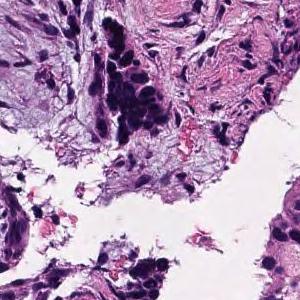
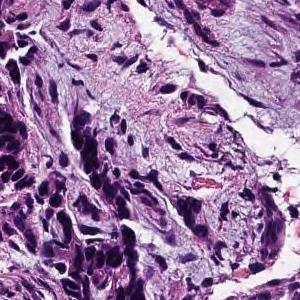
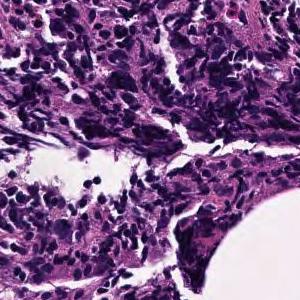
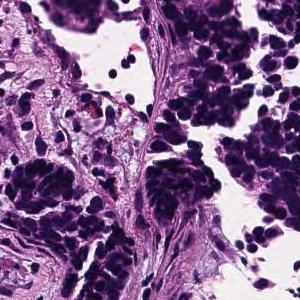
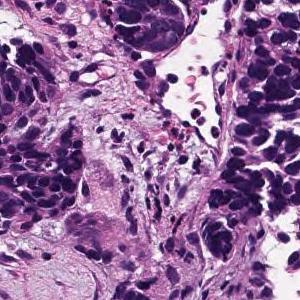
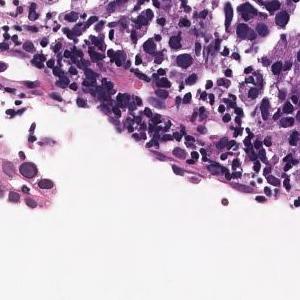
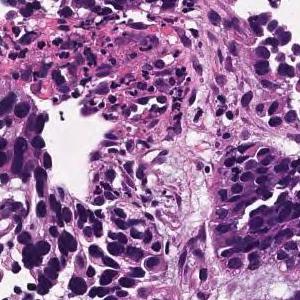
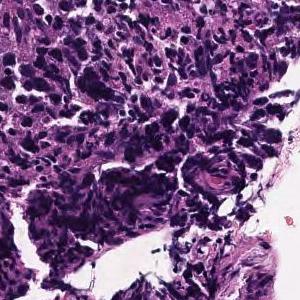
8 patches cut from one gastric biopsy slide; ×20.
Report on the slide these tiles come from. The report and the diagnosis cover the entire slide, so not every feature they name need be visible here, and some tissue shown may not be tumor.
Medium to small, irregular glandular ducts are formed in the superficial epithelium, and in some cases, the glandular ducts are fused to show solid alveolar lesions and infiltrating tumor tissue is observed. Moderately to poorly differentiated adenocarcinoma.
